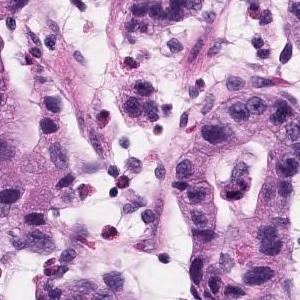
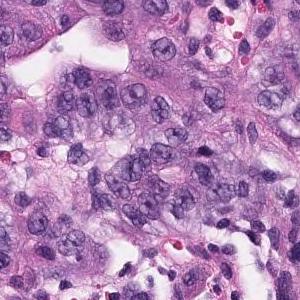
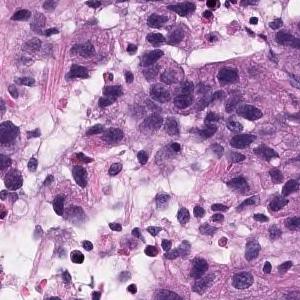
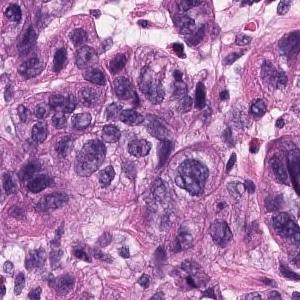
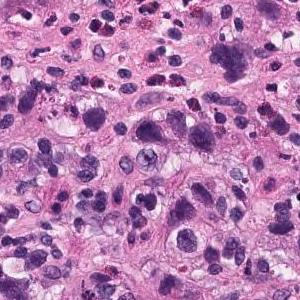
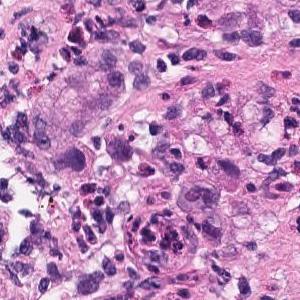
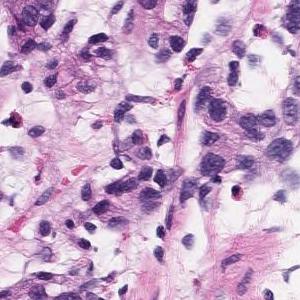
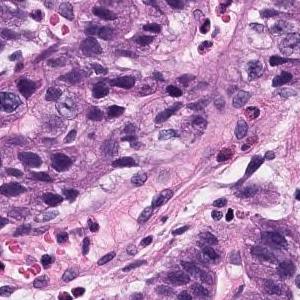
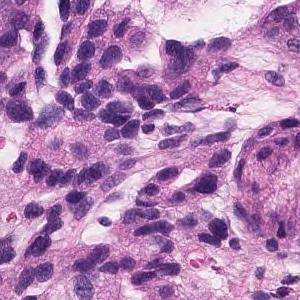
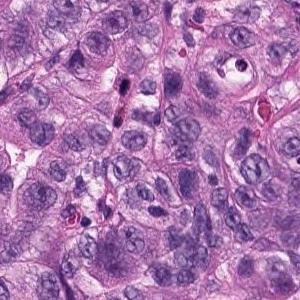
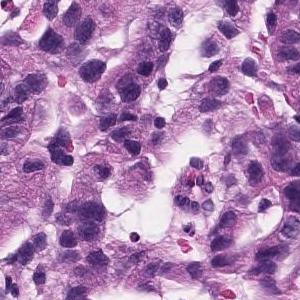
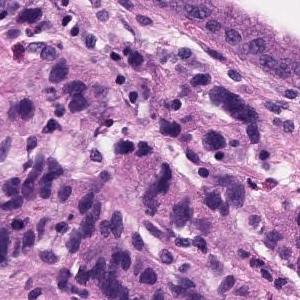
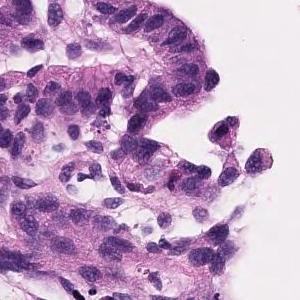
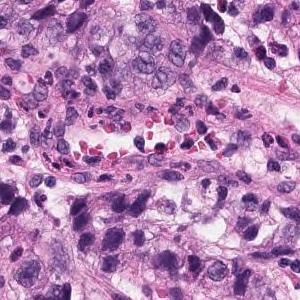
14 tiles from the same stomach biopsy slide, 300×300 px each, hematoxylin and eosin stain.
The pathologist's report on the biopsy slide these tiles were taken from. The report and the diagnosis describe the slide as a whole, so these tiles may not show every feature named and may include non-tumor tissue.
Atypical l cells with atypical nuclei forming diffuse or small irregular atypical ducts and growing. Moderately to poorly differentiated adenocarcinoma (poorly differentiated adenocarcinoma, solid type, moderately differentiated tubular adenocarcinoma)
Tumor subtype: moderately to poorly differentiated adenocarcinoma.
The solid type named here is a Japanese Classification of Gastric Carcinoma category; WHO 2019 calls it tubular adenocarcinoma, poorly differentiated.
